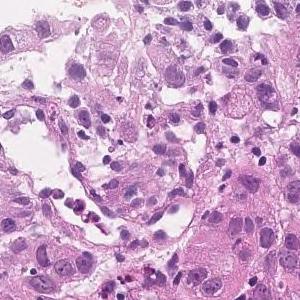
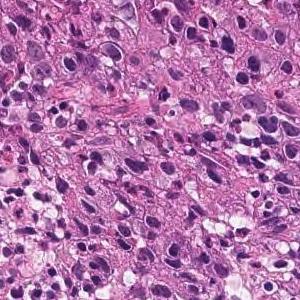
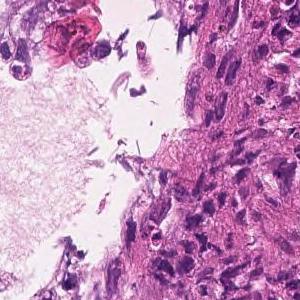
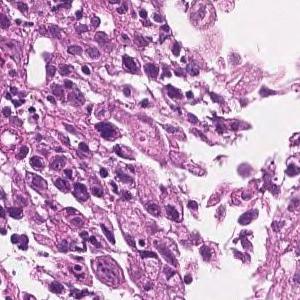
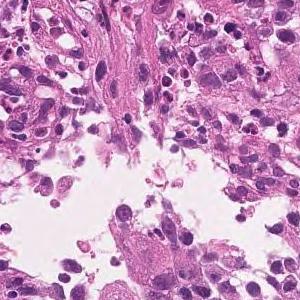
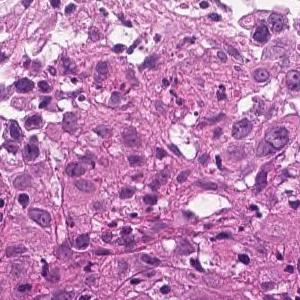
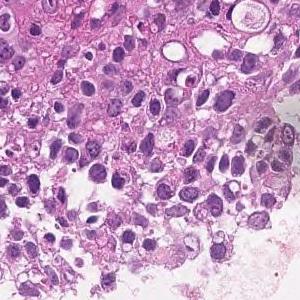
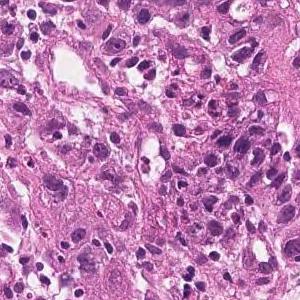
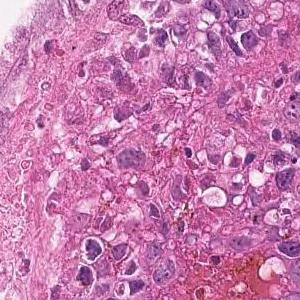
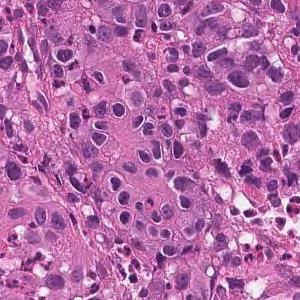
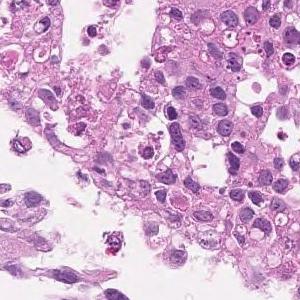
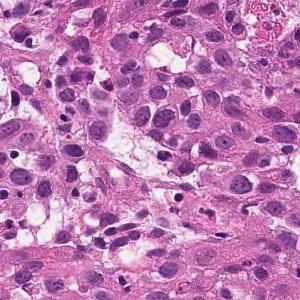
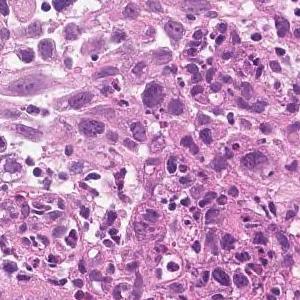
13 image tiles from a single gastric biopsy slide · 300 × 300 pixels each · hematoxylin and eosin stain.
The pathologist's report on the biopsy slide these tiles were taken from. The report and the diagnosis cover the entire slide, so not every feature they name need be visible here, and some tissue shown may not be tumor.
The superficial epithelium shows a large sheet-like shape, and some tumor tissue infiltrates with small irregular ducts. Poorly differentiated adenocarcinoma, solid-type
Subtype: Poorly differentiated adenocarcinoma, solid type (Japanese Classification of Gastric Carcinoma). The WHO 2019 equivalent is tubular adenocarcinoma, poorly differentiated.
